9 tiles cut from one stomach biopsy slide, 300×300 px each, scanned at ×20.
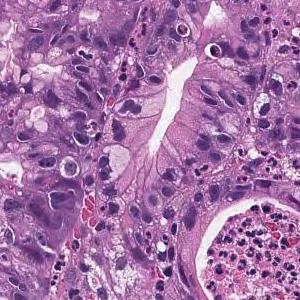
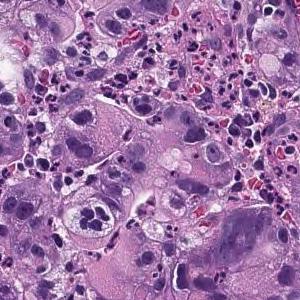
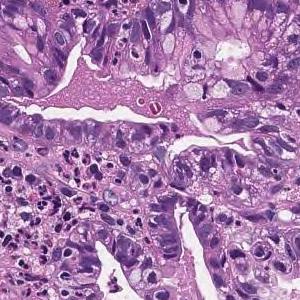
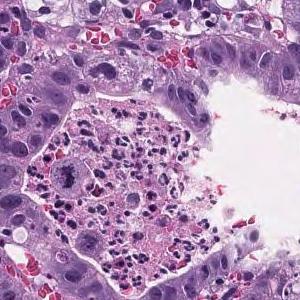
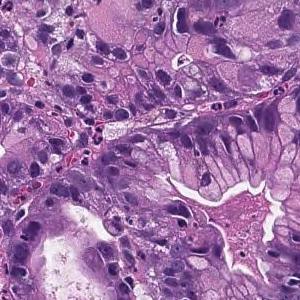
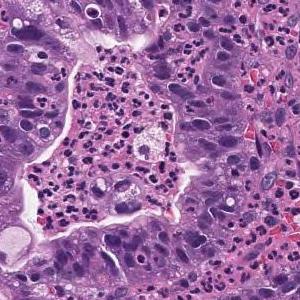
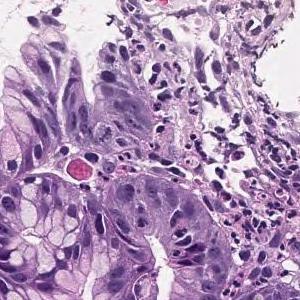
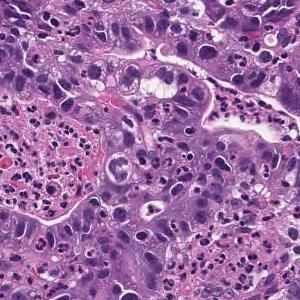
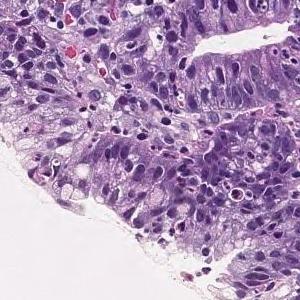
Diagnostic report for the slide these tiles come from. The report and the diagnosis cover the entire slide, so not every feature they name need be visible here, and some tissue shown may not be tumor.
In the superficial epithelium, tumor tissue that invades by forming medium-sized to small, irregular ducts is observed. Well differentiated tubular adenocarcinoma.
